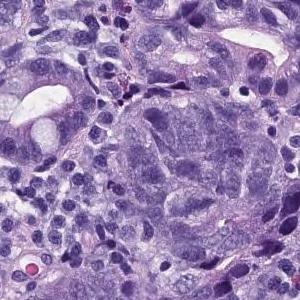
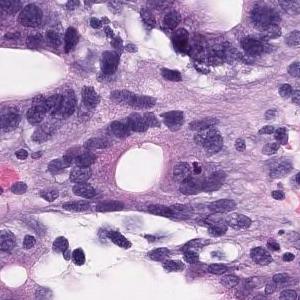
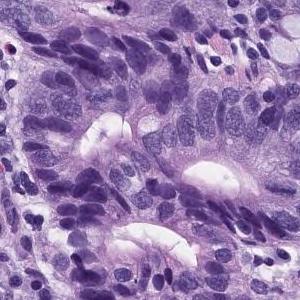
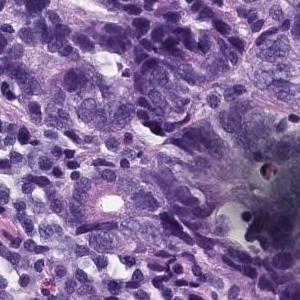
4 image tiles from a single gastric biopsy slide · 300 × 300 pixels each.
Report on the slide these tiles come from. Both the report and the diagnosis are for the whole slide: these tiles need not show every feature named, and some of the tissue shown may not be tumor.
In the superficial epithelium, tumor tissue that invades by forming medium-sized to small, irregular ducts is observed. Moderately differentiated adenocarcinoma.
Classified as moderately differentiated tubular adenocarcinoma.
